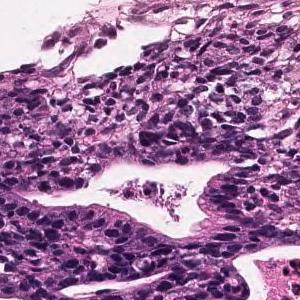
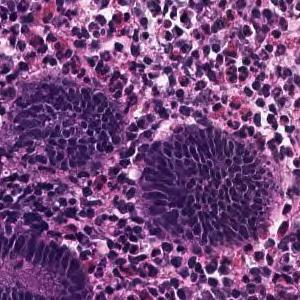
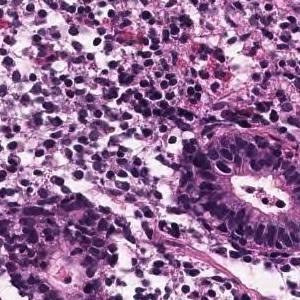
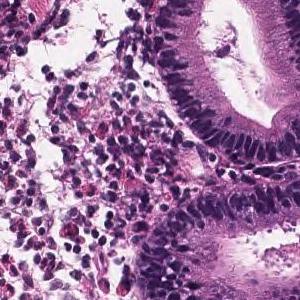
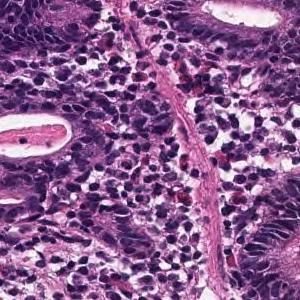
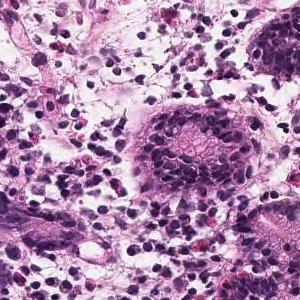
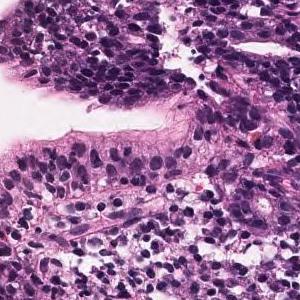
7 tiles from the same stomach biopsy slide · each 300 × 300 pixels · H&E stain · 20× magnification.
The pathologist's report on the biopsy slide these tiles were taken from. The findings and the diagnosis refer to the entire slide; these tiles show only part of it, possibly with non-tumor tissue, and may not show every feature named.
Atypical epithelium with swelling of the nucleus and pseudostratified shows tumor tissue that grows with irregular branching. Well differentiated tubular adenocarcinoma
